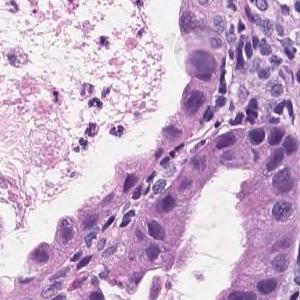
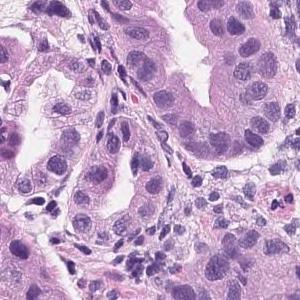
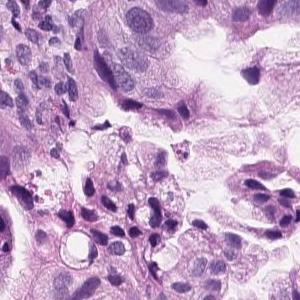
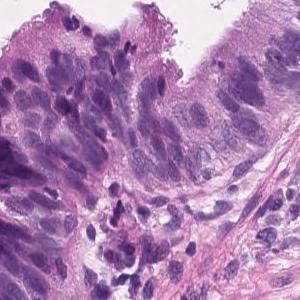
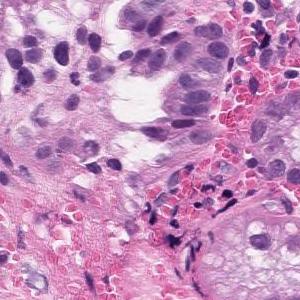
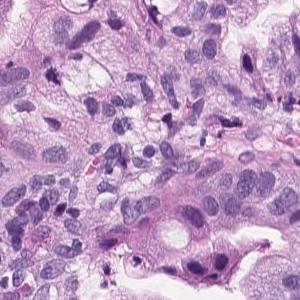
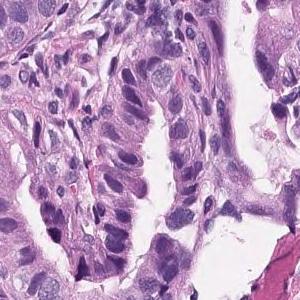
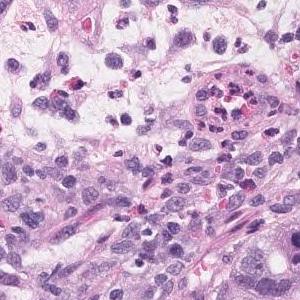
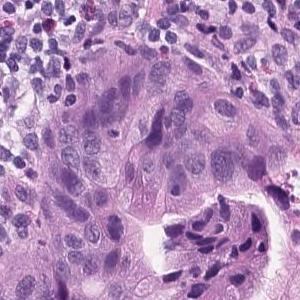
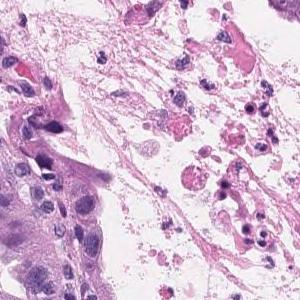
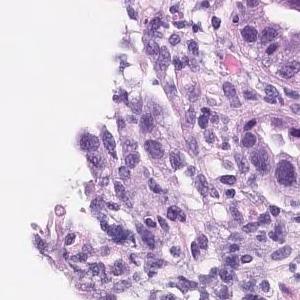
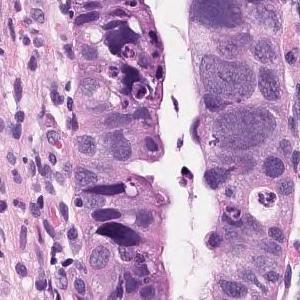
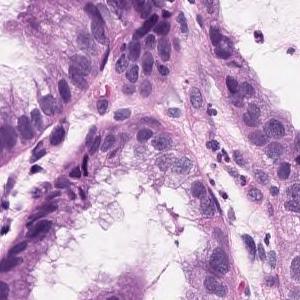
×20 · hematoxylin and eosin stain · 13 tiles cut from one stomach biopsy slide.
Pathology report for the biopsy slide these tiles were cut from. The findings and the diagnosis refer to the entire slide; these tiles show only part of it, possibly with non-tumor tissue, and may not show every feature named.
Tumor tissue consisting of medium-sized and irregular ducts is observed infiltrating in the superficial epithelium. Tumor cells are highly columnar, with nuclei aligned basolaterally and polarized. Well differentiated tubular adenocarcinoma.
